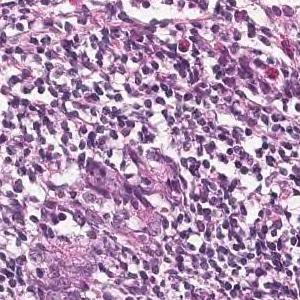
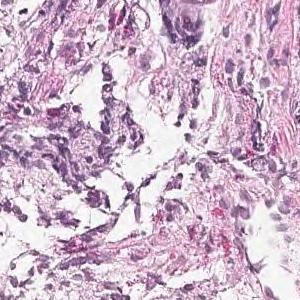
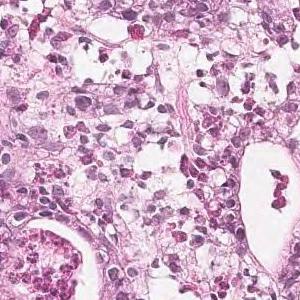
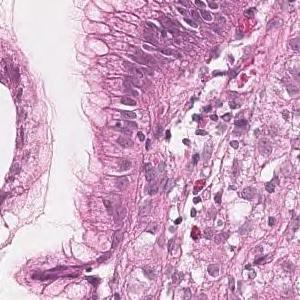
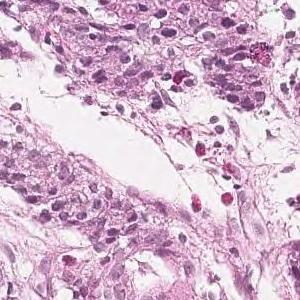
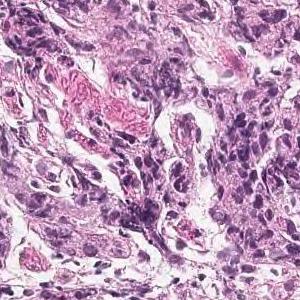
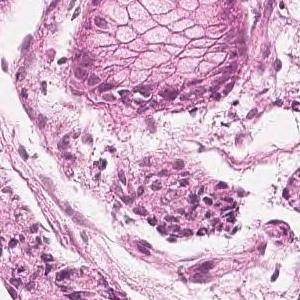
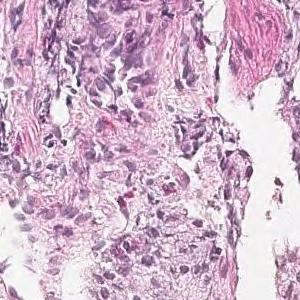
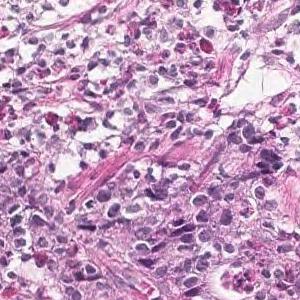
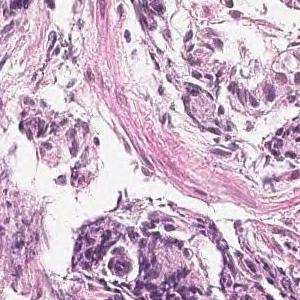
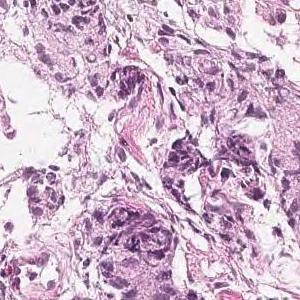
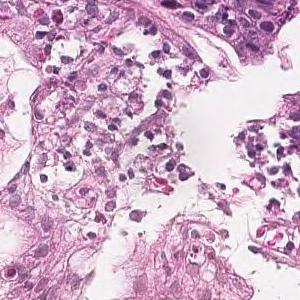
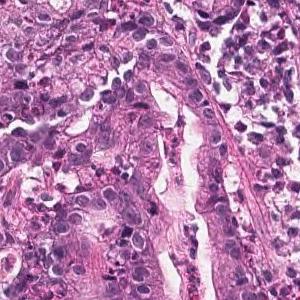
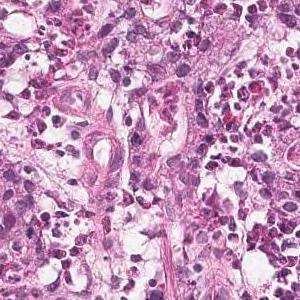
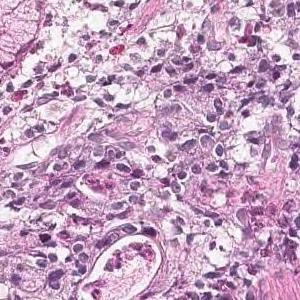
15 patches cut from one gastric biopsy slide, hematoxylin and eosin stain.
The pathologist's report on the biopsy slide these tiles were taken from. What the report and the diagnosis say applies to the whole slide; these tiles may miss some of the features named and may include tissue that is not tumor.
Tumor tissue consisting of medium-sized, cord-like or irregular glandular infiltration is observed in the superficial epithelium. Poorly differentiated adenocarcinoma, non-solid type or moderately differentiated tubular adenocarcinoma
"Non-solid type" is a category of the Japanese Classification of Gastric Carcinoma.
